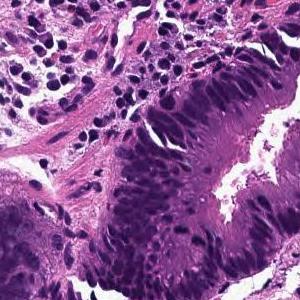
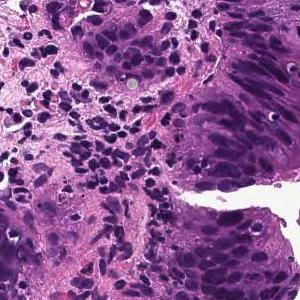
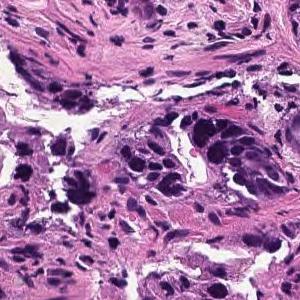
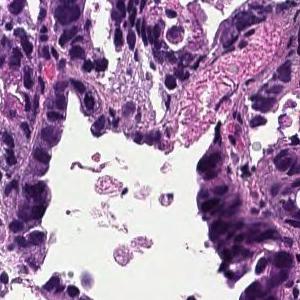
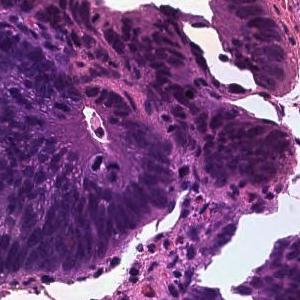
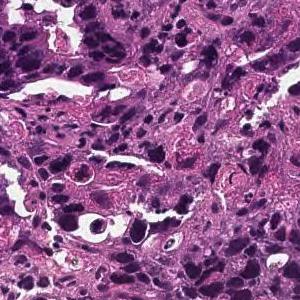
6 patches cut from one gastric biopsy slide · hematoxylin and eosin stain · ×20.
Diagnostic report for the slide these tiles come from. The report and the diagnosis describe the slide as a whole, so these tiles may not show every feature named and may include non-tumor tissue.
In the superficial epithelium, tumor tissue that invades by forming medium-sized to small, irregular ducts is observed. moderately differentiated tubular adenocarcinoma.
